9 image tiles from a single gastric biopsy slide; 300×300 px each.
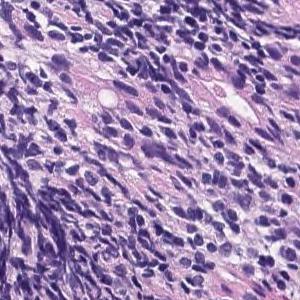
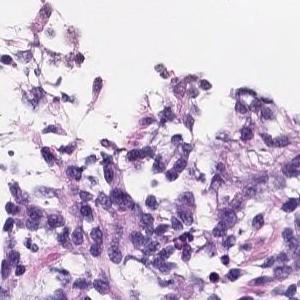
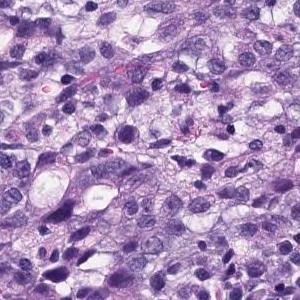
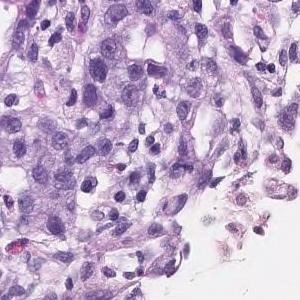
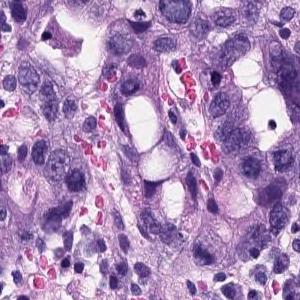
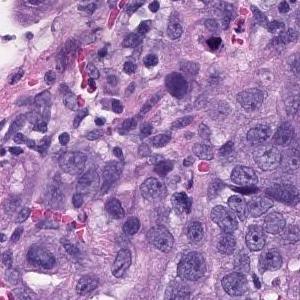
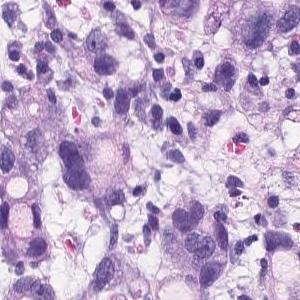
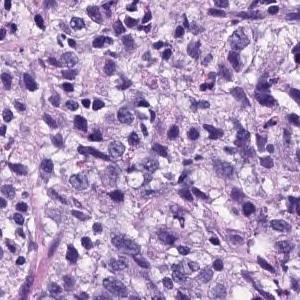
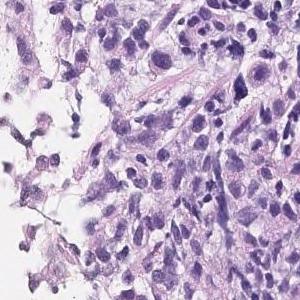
Diagnostic report for the slide these tiles come from. The report describes the whole slide, diagnosis included: not every finding it names need appear in these tiles, which may also show non-tumor tissue.
There are atypical l cells with atypical nuclei forming cord-like or irregular atypical ducts from solidity and proliferating in a comprehensive manner. Poorly differentiated adenocarcinoma, Moderately differentiated adenocarcinoma (poorly differentiated adenocarcinoma, solid type moderately differentiated tubular adenocarcinoma)
Histologic type: Moderately to poorly differentiated adenocarcinoma.
The term "solid type" comes from the Japanese Classification of Gastric Carcinoma; the WHO 2019 equivalent is tubular adenocarcinoma, poorly differentiated.
